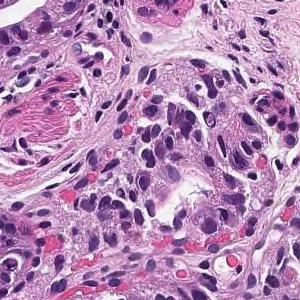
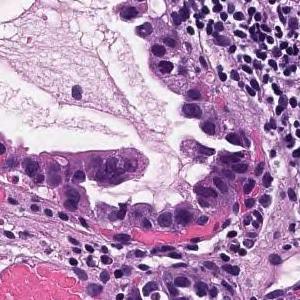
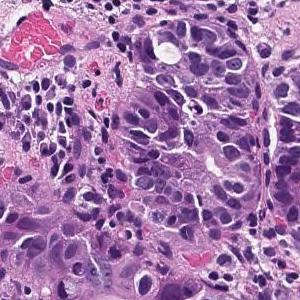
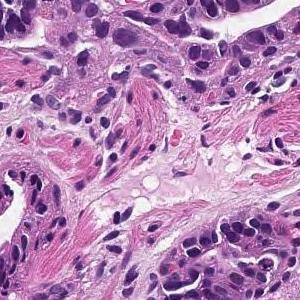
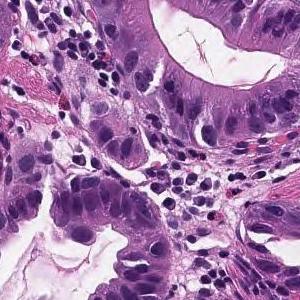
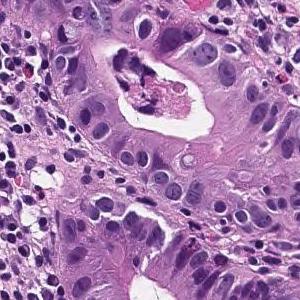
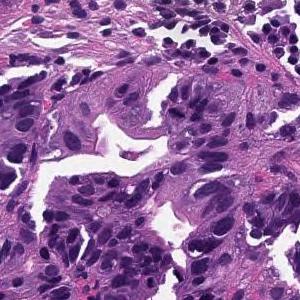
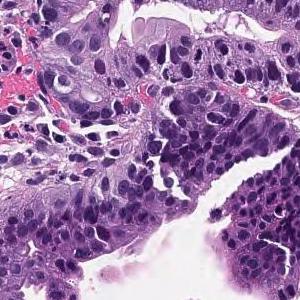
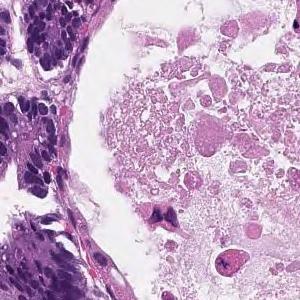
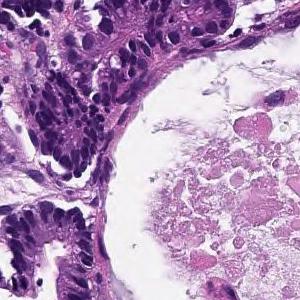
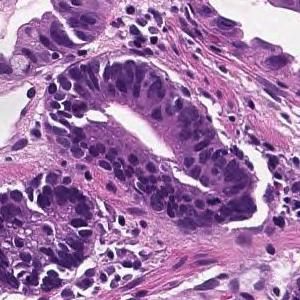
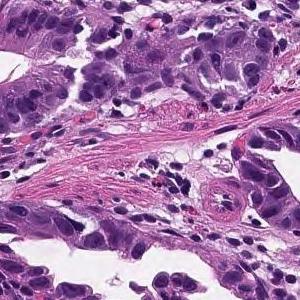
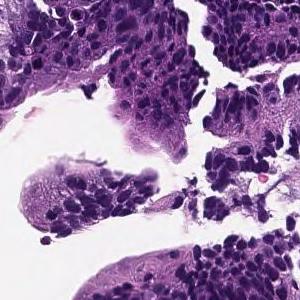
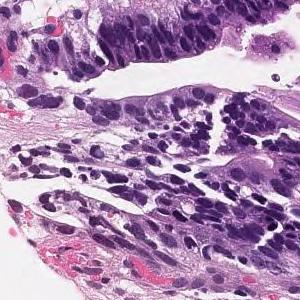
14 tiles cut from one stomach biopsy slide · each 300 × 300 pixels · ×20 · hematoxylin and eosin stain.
The pathologist's report on the biopsy slide these tiles were taken from. The report describes the whole slide, diagnosis included: not every finding it names need appear in these tiles, which may also show non-tumor tissue.
From the superficial epithelium to the muscularis mucosae, tumor tissue consisting of medium-sized and irregular glandular ducts infiltrating is observed. Well differentiated tubular adenocarcinoma
